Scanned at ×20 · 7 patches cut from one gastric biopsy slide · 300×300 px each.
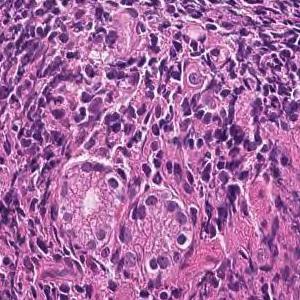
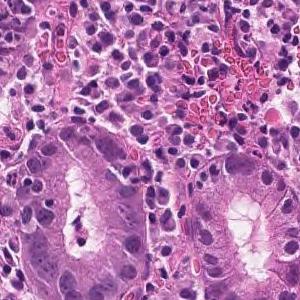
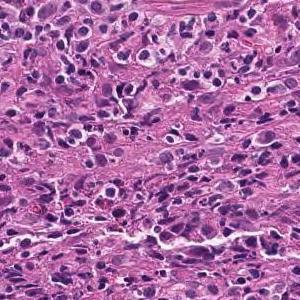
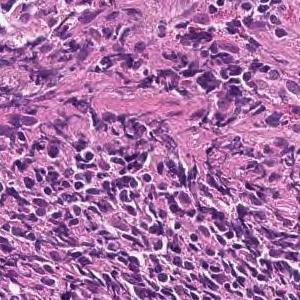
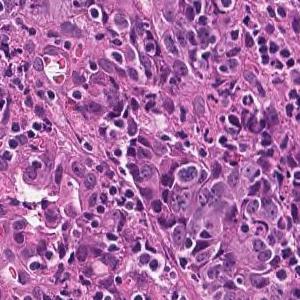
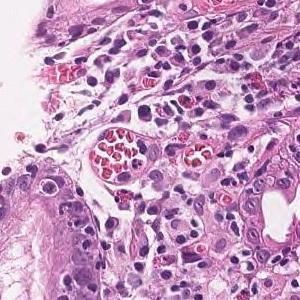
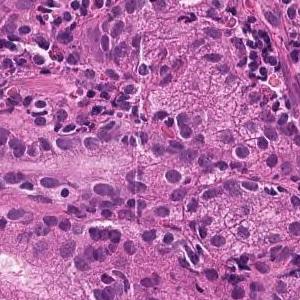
Diagnostic report for the slide these tiles come from. The report describes the whole slide, diagnosis included: not every finding it names need appear in these tiles, which may also show non-tumor tissue.
Tumor tissue consisting of medium-sized, cord-like or irregular glandular infiltration is observed in the superficial epithelium. Poorly differentiated adenocarcinoma, non-solid type or moderately differentiated tubular adenocarcinoma
The dataset labels this slide poorly differentiated adenocarcinoma, non-solid type.
The non-solid type named here is a Japanese Classification of Gastric Carcinoma category.
